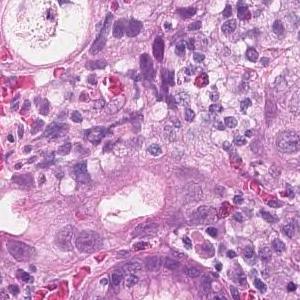
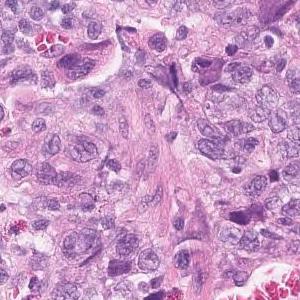
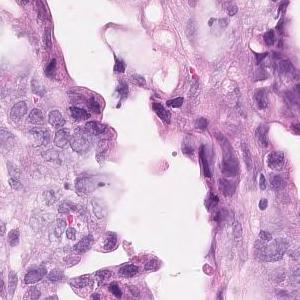
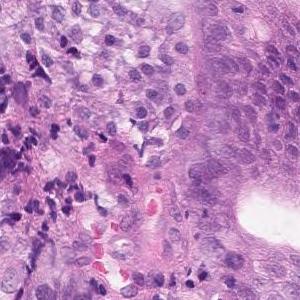
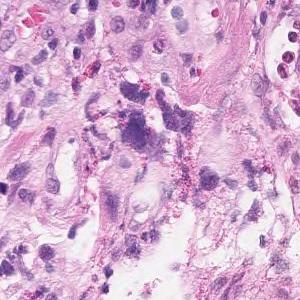
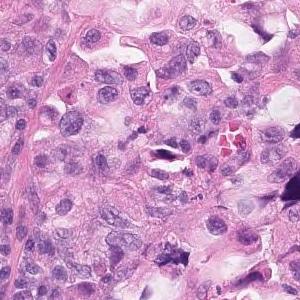
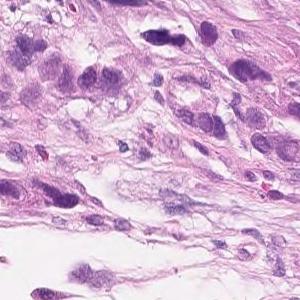
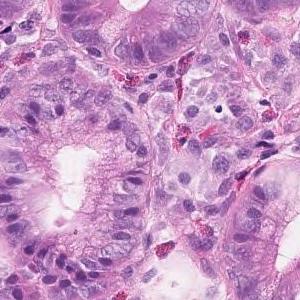
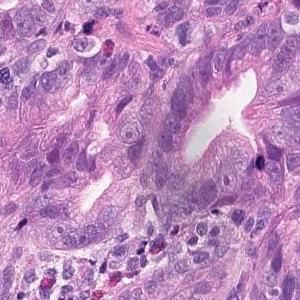
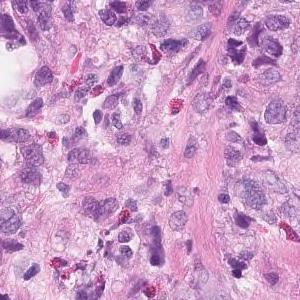
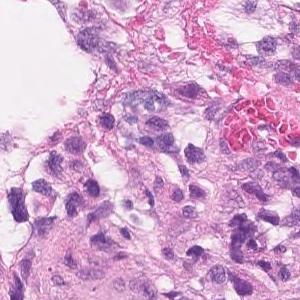
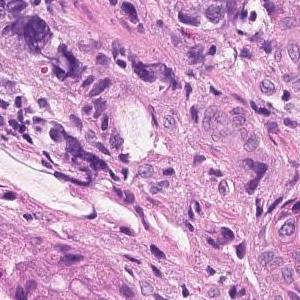
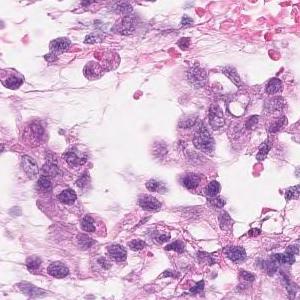
13 patches cut from one gastric biopsy slide, hematoxylin and eosin stain, scanned at ×20.
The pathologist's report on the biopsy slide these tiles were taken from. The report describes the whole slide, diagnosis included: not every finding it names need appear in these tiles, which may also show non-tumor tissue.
Tumor tissue showing dense, fused or diffuse, and infiltrative growth of small atypical ducts is observed. moderately differentiated tubular adenocarcinoma
